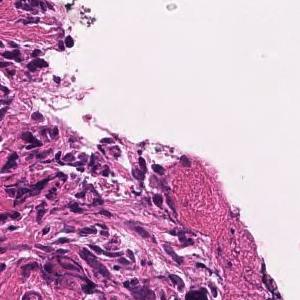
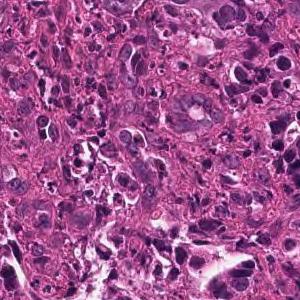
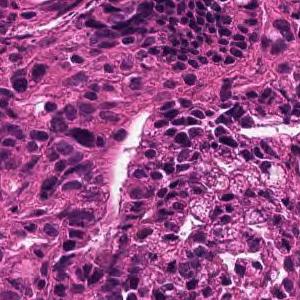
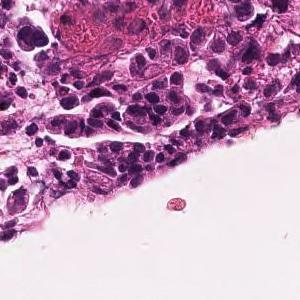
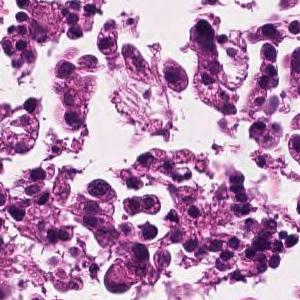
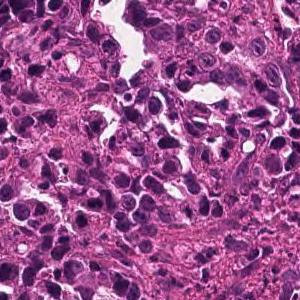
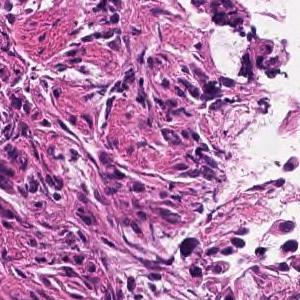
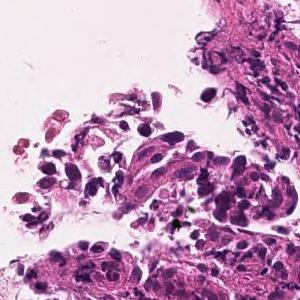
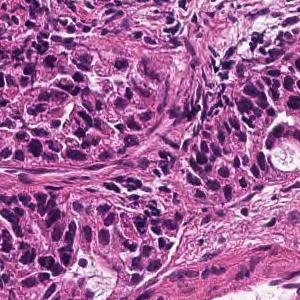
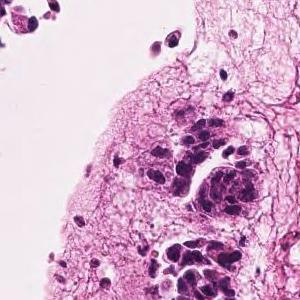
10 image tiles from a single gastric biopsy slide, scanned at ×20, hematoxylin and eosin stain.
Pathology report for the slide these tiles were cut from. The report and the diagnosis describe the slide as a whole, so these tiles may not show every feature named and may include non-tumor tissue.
In the superficial epithelium, tumor tissue that invades by forming medium-sized to small, irregular ducts is observed. moderately differentiated tubular adenocarcinoma.
